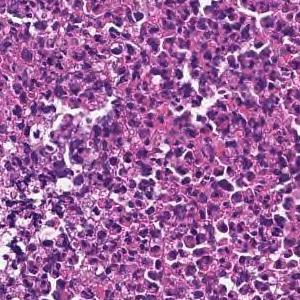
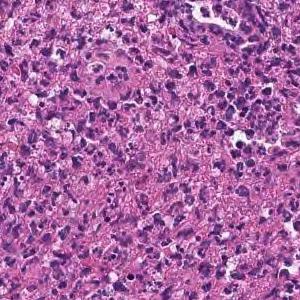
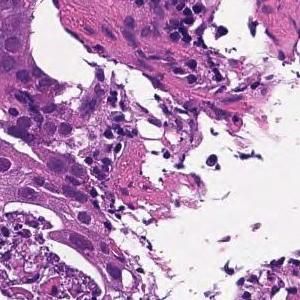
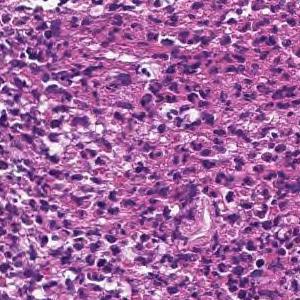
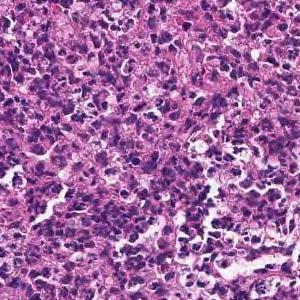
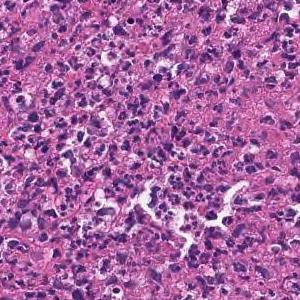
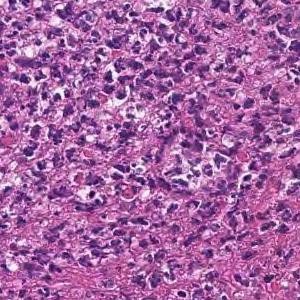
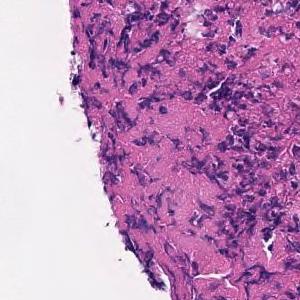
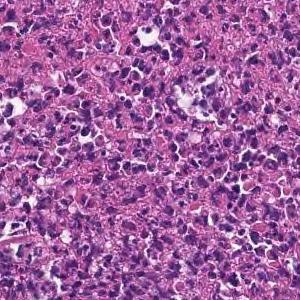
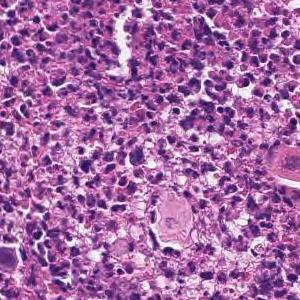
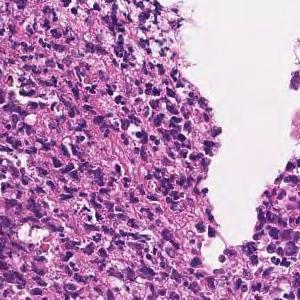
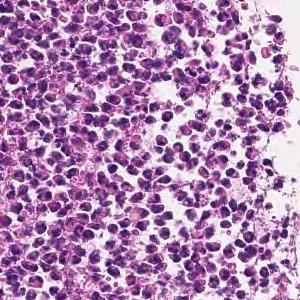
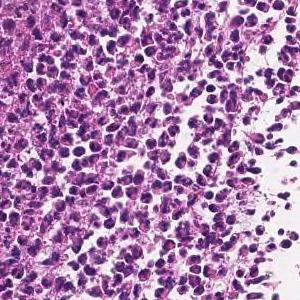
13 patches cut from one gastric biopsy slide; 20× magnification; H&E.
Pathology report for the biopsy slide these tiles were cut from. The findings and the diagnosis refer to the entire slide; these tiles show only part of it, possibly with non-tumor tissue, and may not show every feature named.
In the superficial epithelium, tumor tissue infiltrated by partial fusion of medium-sized to small, irregular glandular ducts is observed. moderately differentiated tubular adenocarcinoma
